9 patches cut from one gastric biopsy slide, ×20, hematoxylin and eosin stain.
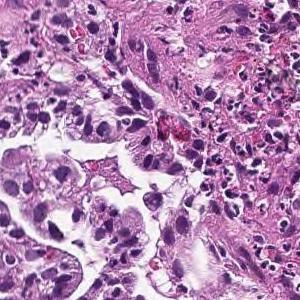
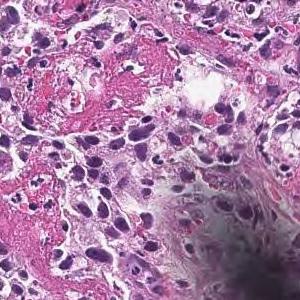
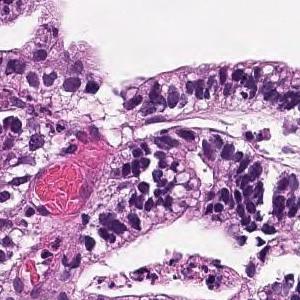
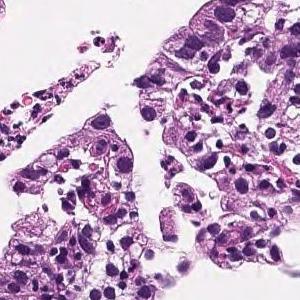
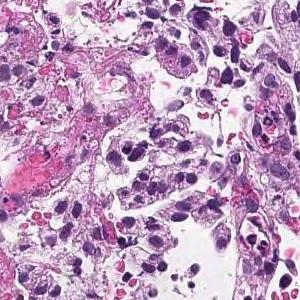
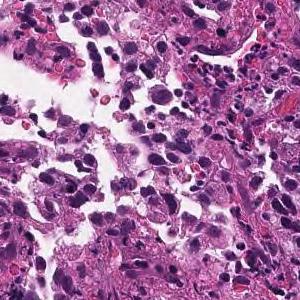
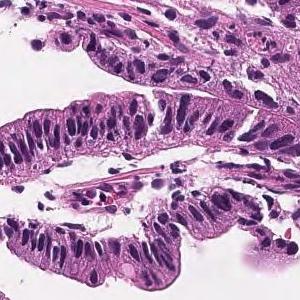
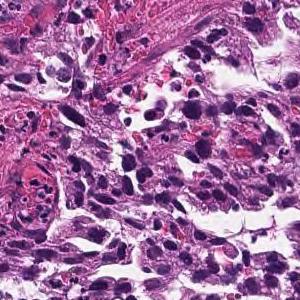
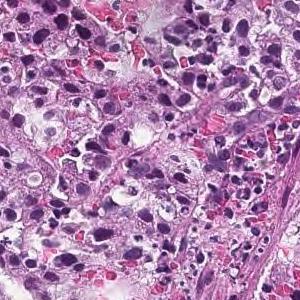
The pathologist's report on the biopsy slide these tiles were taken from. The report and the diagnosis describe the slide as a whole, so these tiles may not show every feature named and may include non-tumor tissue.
Tumor tissue consisting of medium-sized, cord-like or irregular glandular infiltration is observed in the superficial epithelium. Poorly differentiated adenocarcinoma, non-solid type or moderately differentiated tubular adenocarcinoma
Histological subtype: Moderately to poorly differentiated adenocarcinoma.
The term "non-solid type" comes from the Japanese Classification of Gastric Carcinoma.
